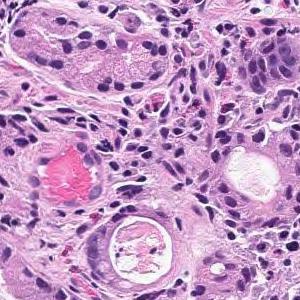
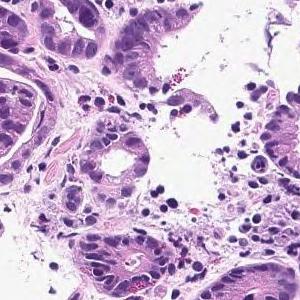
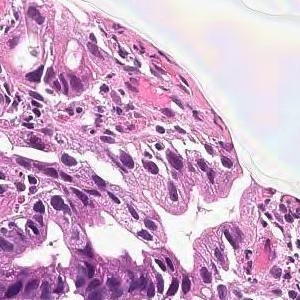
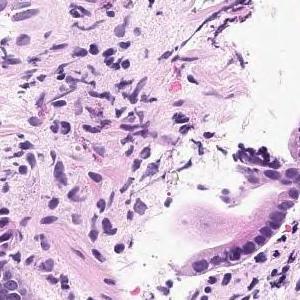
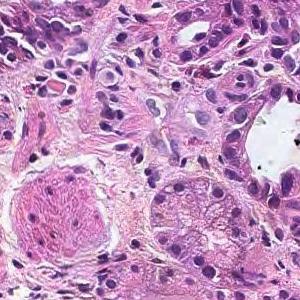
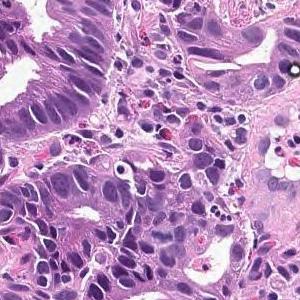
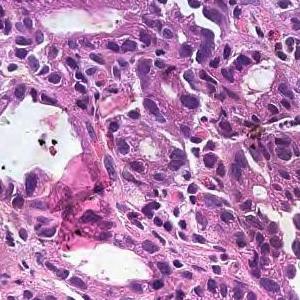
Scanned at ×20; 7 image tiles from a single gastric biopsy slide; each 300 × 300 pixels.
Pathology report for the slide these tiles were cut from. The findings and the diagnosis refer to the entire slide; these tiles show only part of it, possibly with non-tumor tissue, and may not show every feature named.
In the superficial epithelium, tumor tissue that invades by forming medium-sized to small, irregular ducts is observed. moderately differentiated tubular adenocarcinoma.
